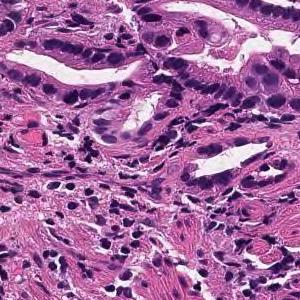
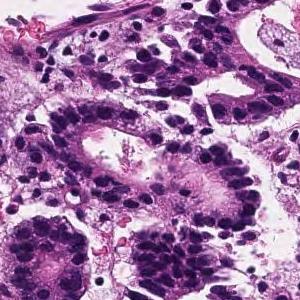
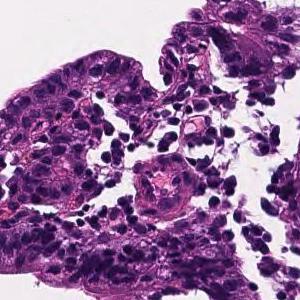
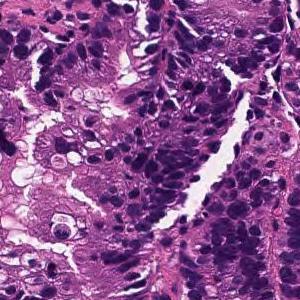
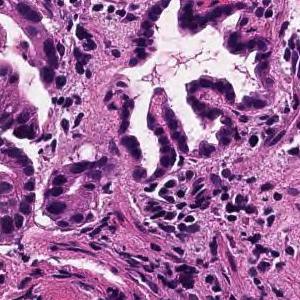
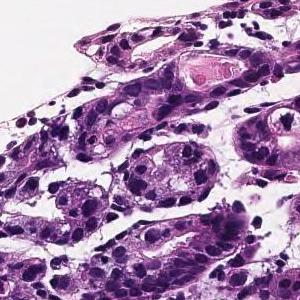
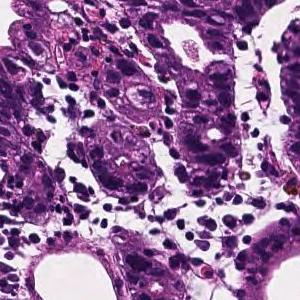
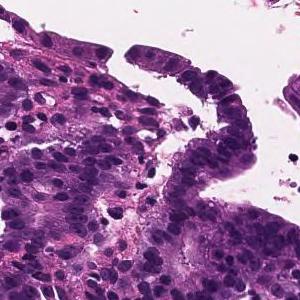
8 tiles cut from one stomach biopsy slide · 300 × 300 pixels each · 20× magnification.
Pathology report for the biopsy slide these tiles were cut from. The report and the diagnosis cover the entire slide, so not every feature they name need be visible here, and some tissue shown may not be tumor.
From the superficial epithelium to the muscularis mucosae, tumor tissue consisting of medium-sized and irregular glandular ducts infiltrating is observed. Well differentiated tubular adenocarcinoma
